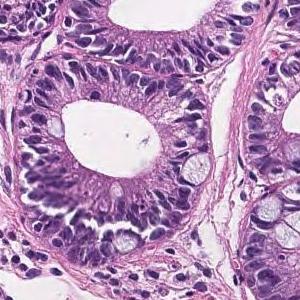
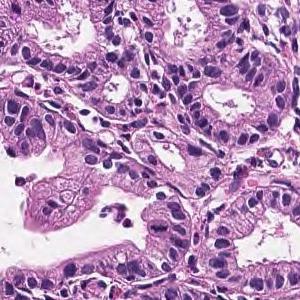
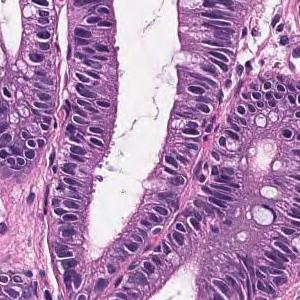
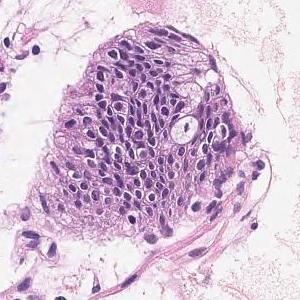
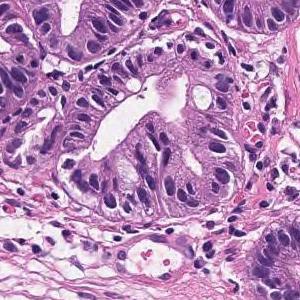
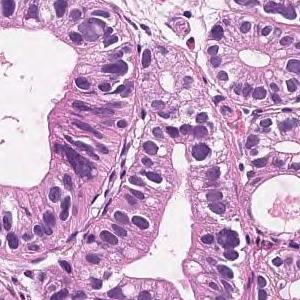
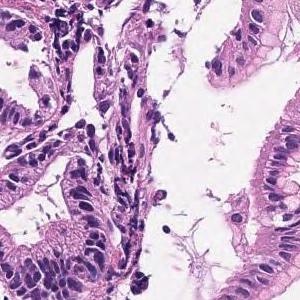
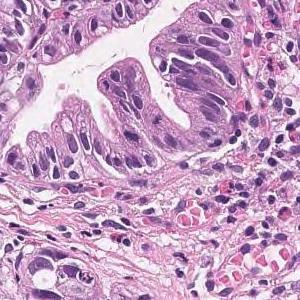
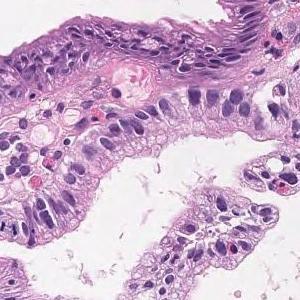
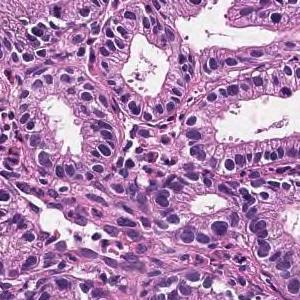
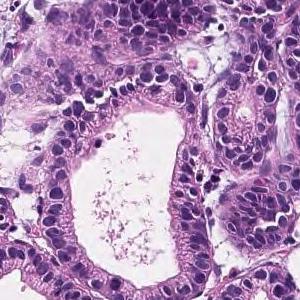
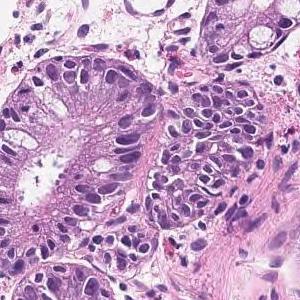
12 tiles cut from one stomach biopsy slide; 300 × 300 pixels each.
The pathologist's report on the biopsy slide these tiles were taken from. The findings and the diagnosis refer to the entire slide; these tiles show only part of it, possibly with non-tumor tissue, and may not show every feature named.
In the superficial epithelium, tumor tissue that invades by forming medium-sized to small, irregular ducts is observed. Well differentiated tubular adenocarcinoma.
